6 patches cut from one gastric biopsy slide, hematoxylin and eosin stain, scanned at ×20.
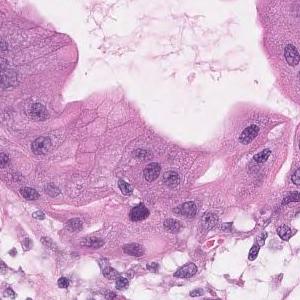
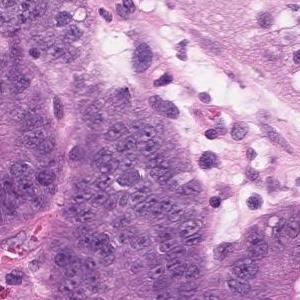
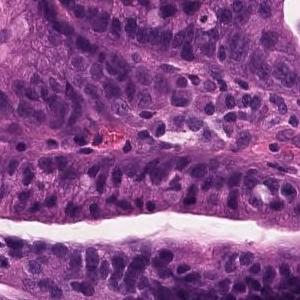
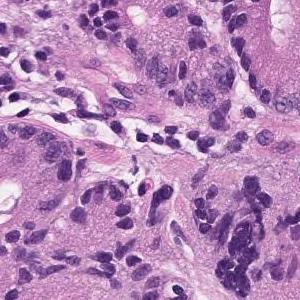
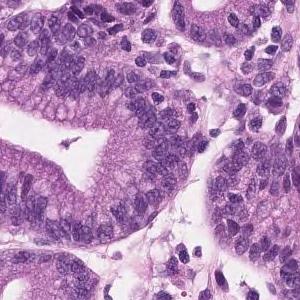
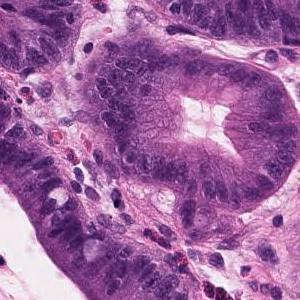
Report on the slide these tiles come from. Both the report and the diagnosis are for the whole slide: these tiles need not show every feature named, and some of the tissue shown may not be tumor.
On the superficial epithelium, tumor tissue consisting of large, irregular glandular ducts partially fused and infiltrated is observed. Well to moderately differentiated tubular adenocarcinoma (well differentiated tubular adenocarcinoma, moderately differentiated tubular adenocarcinoma)
Histologic type: Well to moderately differentiated tubular adenocarcinoma.
